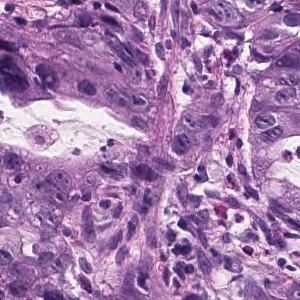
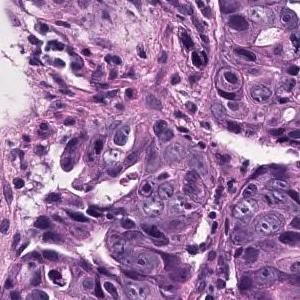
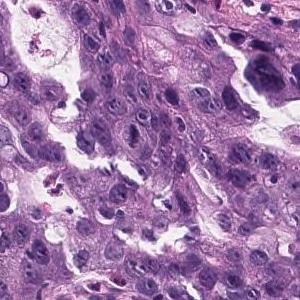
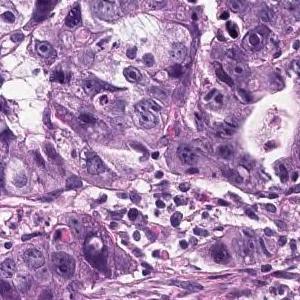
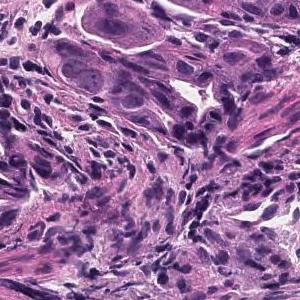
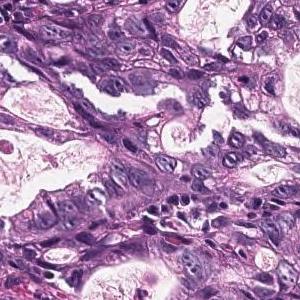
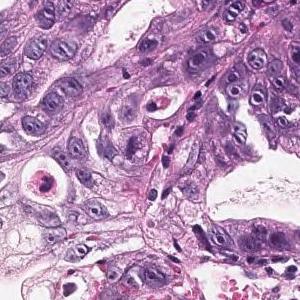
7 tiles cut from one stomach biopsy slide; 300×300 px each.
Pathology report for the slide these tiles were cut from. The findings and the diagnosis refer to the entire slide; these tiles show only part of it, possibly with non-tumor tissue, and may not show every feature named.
Tumor cells are large, highly columnar, large club-shaped nuclei, and are associated with chromatin aggregation. Papillary adenocarcinoma.
